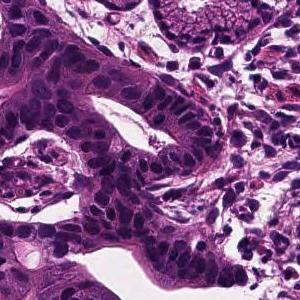
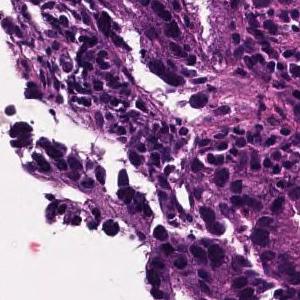
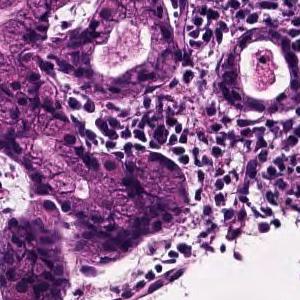
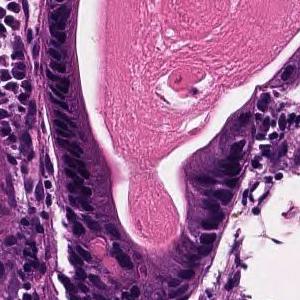
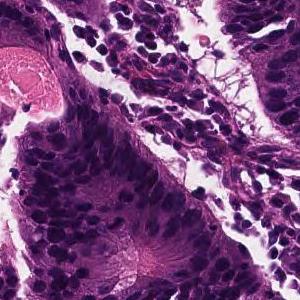
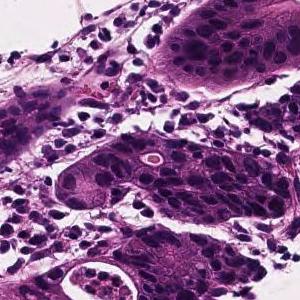
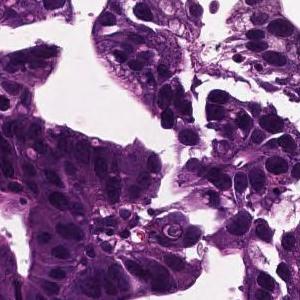
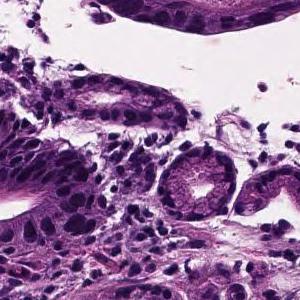
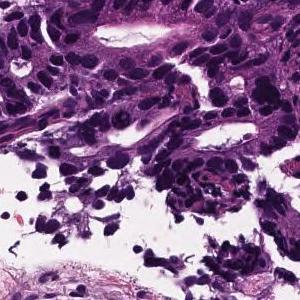
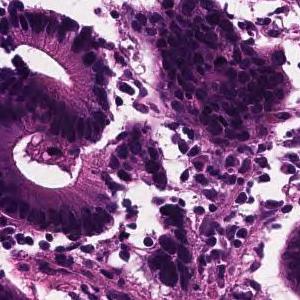
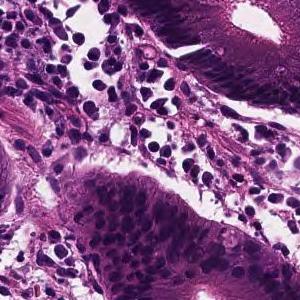
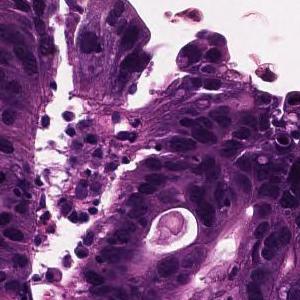
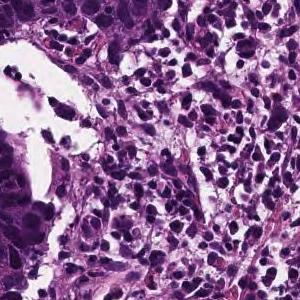
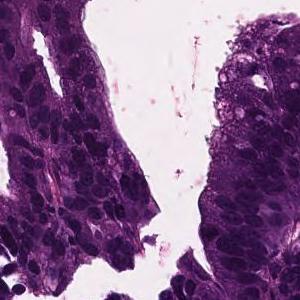
H&E; 14 tiles from the same stomach biopsy slide.
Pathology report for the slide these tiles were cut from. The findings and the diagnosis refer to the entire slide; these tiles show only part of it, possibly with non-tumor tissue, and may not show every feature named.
In the superficial epithelium, tumor tissue that invades by forming medium-sized to small, irregular ducts is observed. moderately differentiated tubular adenocarcinoma.
